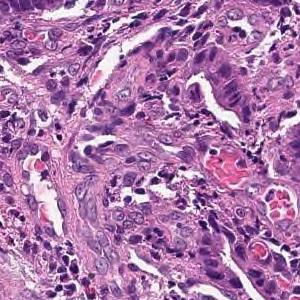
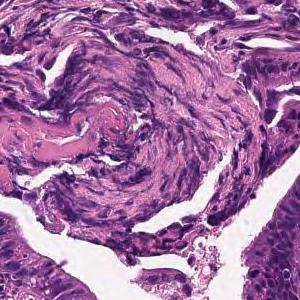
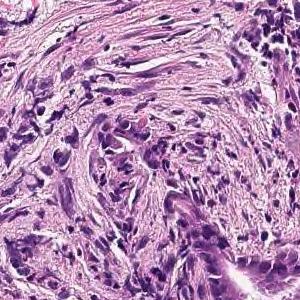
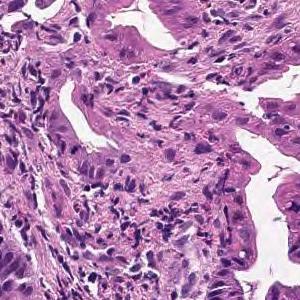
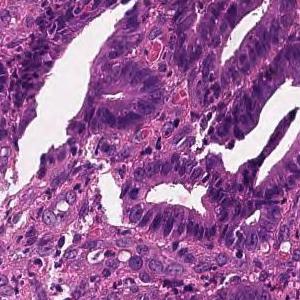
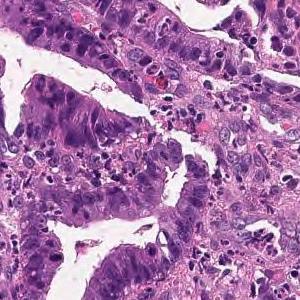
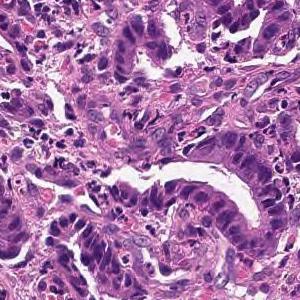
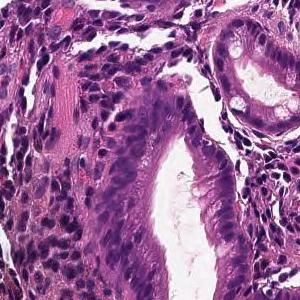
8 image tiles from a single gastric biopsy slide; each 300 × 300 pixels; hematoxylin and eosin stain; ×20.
Pathology report for the biopsy slide these tiles were cut from. What the report and the diagnosis say applies to the whole slide; these tiles may miss some of the features named and may include tissue that is not tumor.
From the superficial epithelium to the muscularis mucosae, tumor tissue consisting of medium-sized and irregular glandular ducts infiltrating is observed. Well differentiated tubular adenocarcinoma
